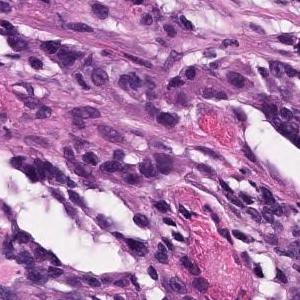
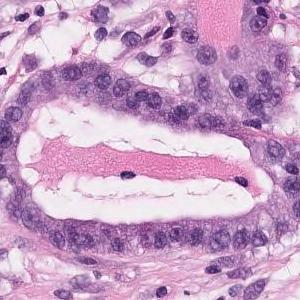
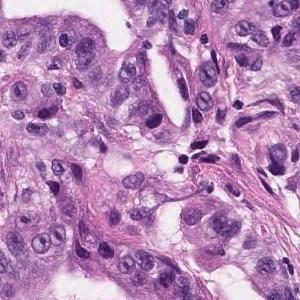
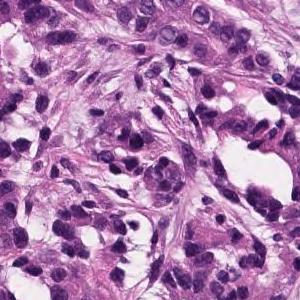
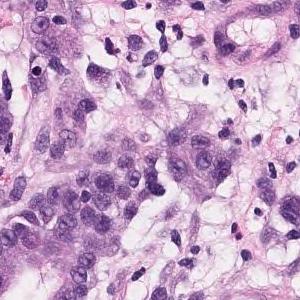
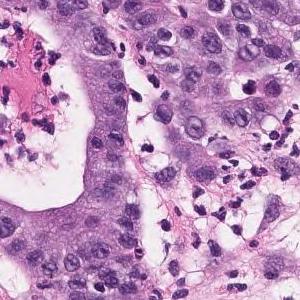
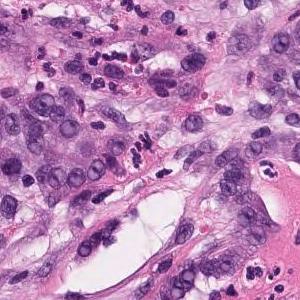
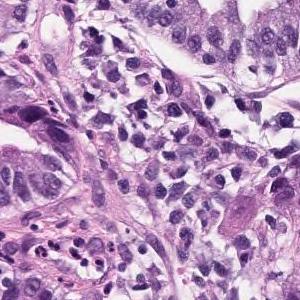
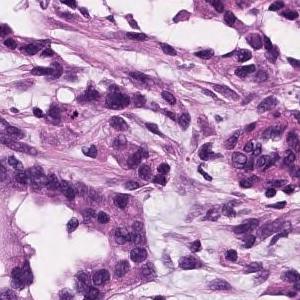
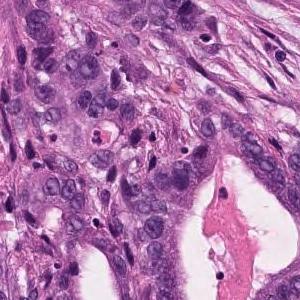
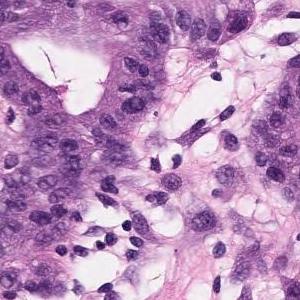
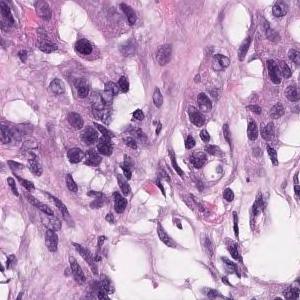
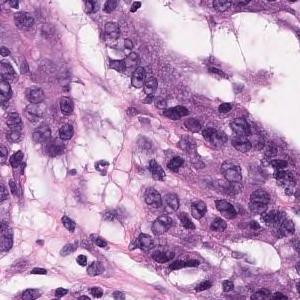
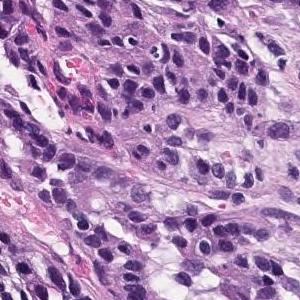
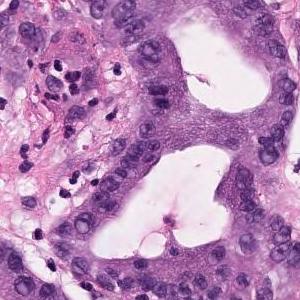
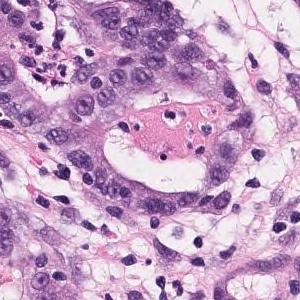
Hematoxylin and eosin stain; 16 patches cut from one gastric biopsy slide.
Pathology report for the slide these tiles were cut from. The findings and the diagnosis refer to the entire slide; these tiles show only part of it, possibly with non-tumor tissue, and may not show every feature named.
In the superficial epithelium, tumor tissue that invades by forming medium-sized to small, irregular ducts is observed. Moderately differentiated adenocarcinoma.
Histologic type: Moderately differentiated tubular adenocarcinoma.
